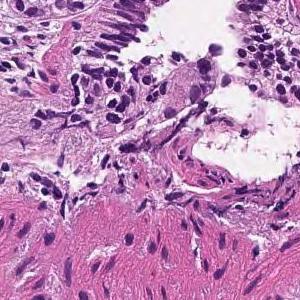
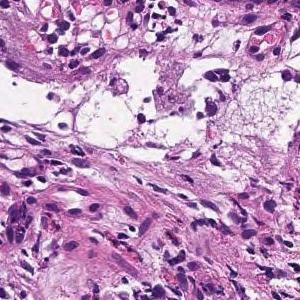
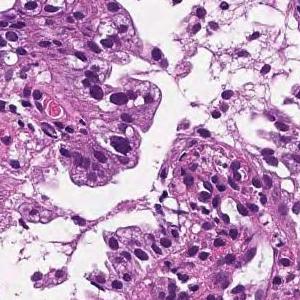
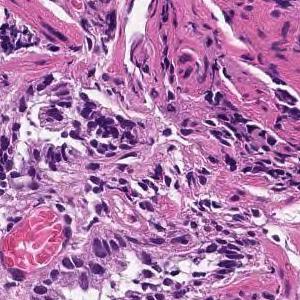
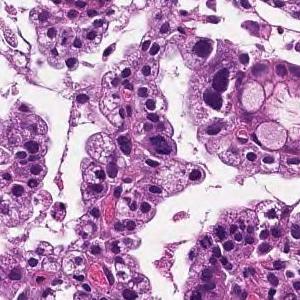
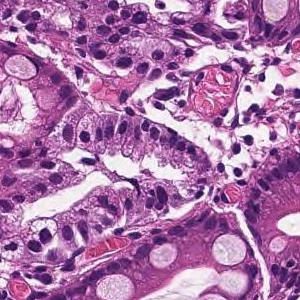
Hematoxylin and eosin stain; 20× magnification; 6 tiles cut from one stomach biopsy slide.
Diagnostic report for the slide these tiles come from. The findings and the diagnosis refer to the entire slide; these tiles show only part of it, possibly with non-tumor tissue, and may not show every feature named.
On the superficial epithelium, tumor tissue that infiltrates by forming medium-sized papillary or small irregular ducts is observed. Papillary adenocarcinoma
